Hematoxylin and eosin stain; 4 image tiles from a single gastric biopsy slide; each 300 × 300 pixels.
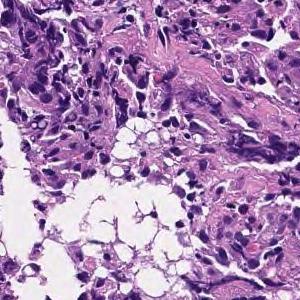
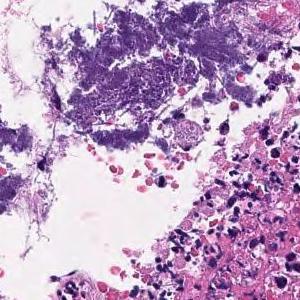
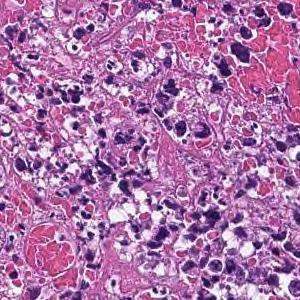
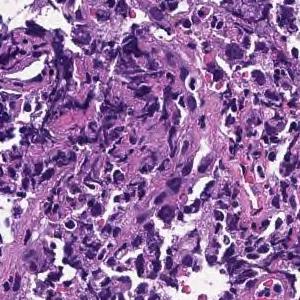
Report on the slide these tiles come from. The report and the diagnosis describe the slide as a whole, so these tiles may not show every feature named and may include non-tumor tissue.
Most are composed of coagulative necrotic tissue, but some show a large sheet-like shape, and some show tumor tissue infiltrating with a small cord-like structure. Poorly differentiated adenocarcinoma, solid-type
Subtype: Poorly differentiated adenocarcinoma, solid type. This name comes from the Japanese Classification of Gastric Carcinoma; the WHO 2019 classification calls it tubular adenocarcinoma, poorly differentiated.
